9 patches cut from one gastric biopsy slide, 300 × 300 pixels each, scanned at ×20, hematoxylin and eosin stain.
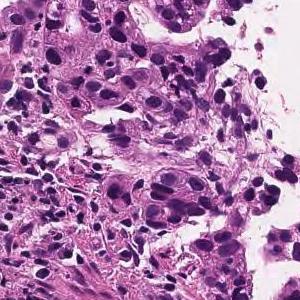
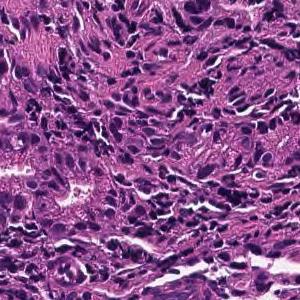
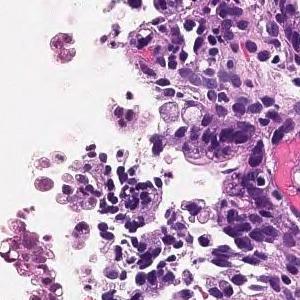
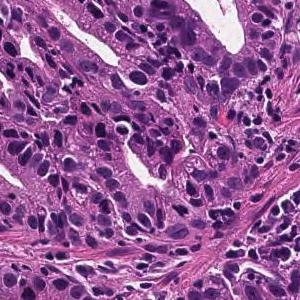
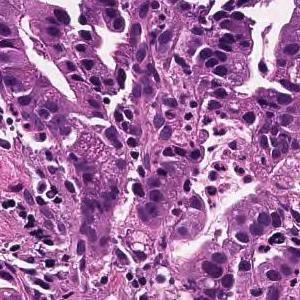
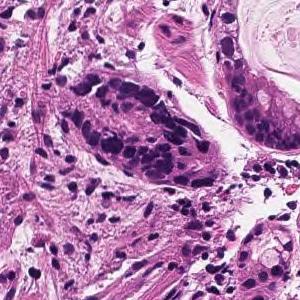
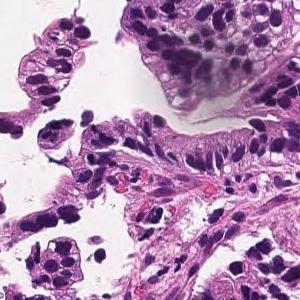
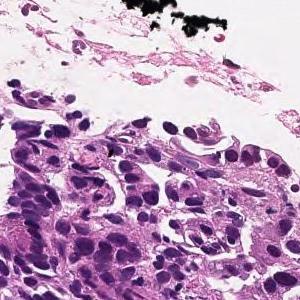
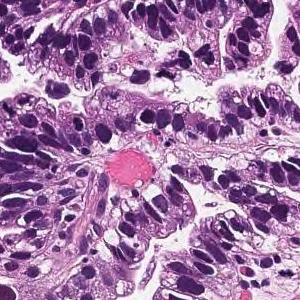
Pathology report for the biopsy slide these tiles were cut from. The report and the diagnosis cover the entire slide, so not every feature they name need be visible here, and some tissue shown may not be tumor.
On the superficial epithelium, tumor tissue is found in which medium-sized irregular gland ducts fuse with each other and infiltrate. moderately differentiated tubular adenocarcinoma or Poorly differentiated adenocarcinoma, non-solid type
Histological subtype: Moderately to poorly differentiated adenocarcinoma.
The term "non-solid type" comes from the Japanese Classification of Gastric Carcinoma.
